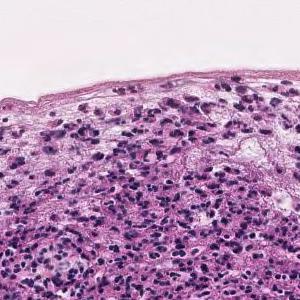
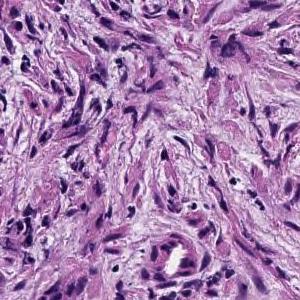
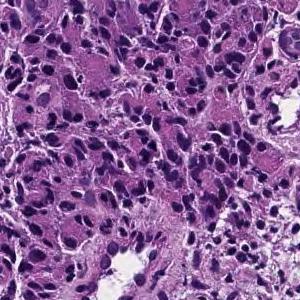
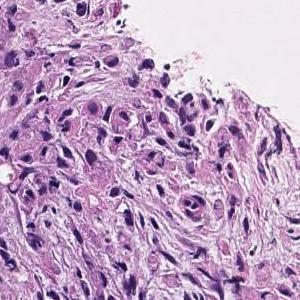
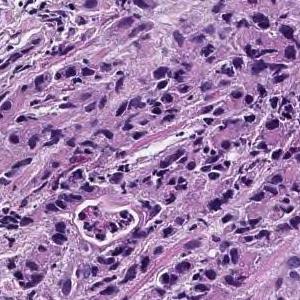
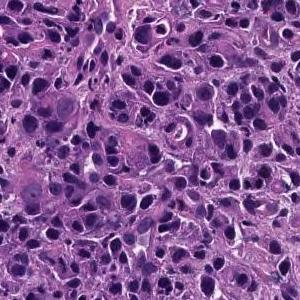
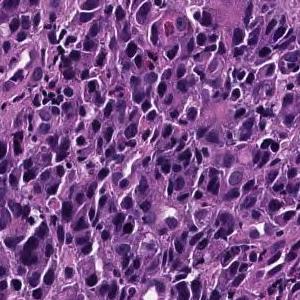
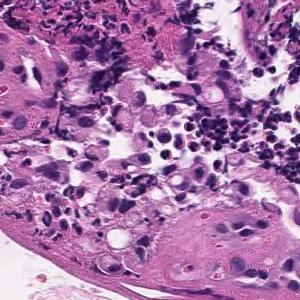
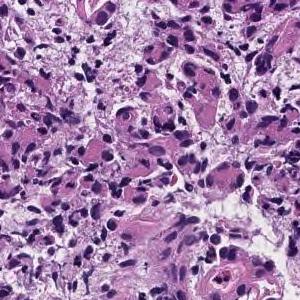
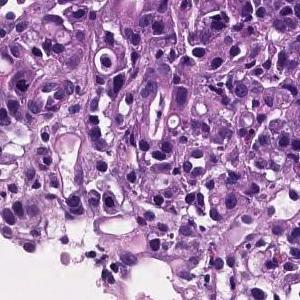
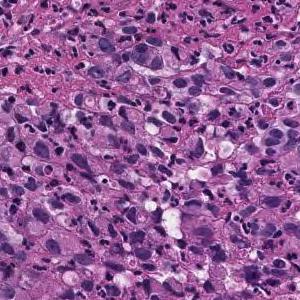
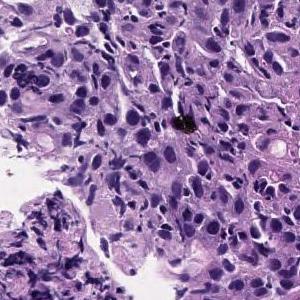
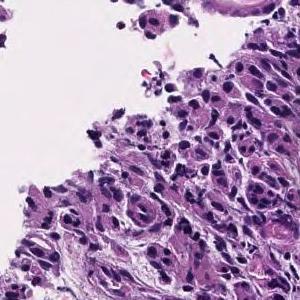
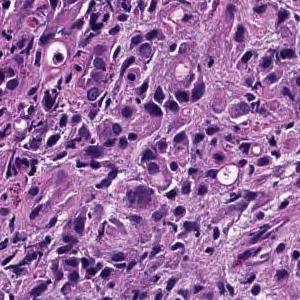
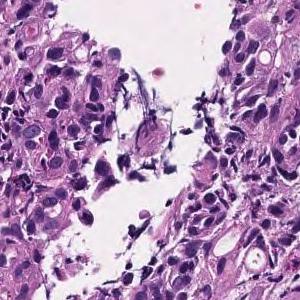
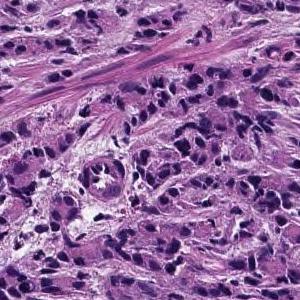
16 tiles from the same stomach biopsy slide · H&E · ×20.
Pathology report for the biopsy slide these tiles were cut from. The findings and the diagnosis refer to the entire slide; these tiles show only part of it, possibly with non-tumor tissue, and may not show every feature named.
The superficial epithelium shows a large sheet-like shape, and some tumor tissue infiltrates with small irregular ducts. Poorly differentiated adenocarcinoma, solid-type
Tumor subtype: poorly differentiated adenocarcinoma, solid type (Japanese Classification of Gastric Carcinoma). The WHO 2019 equivalent is tubular adenocarcinoma, poorly differentiated.
